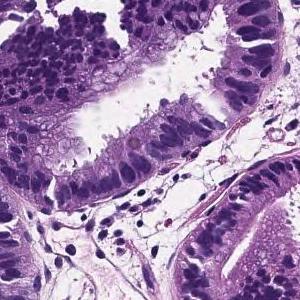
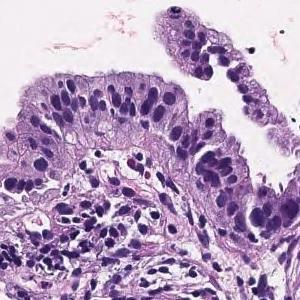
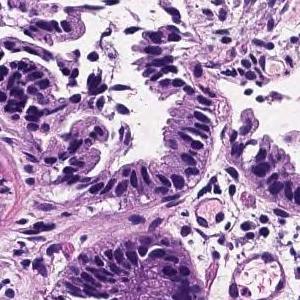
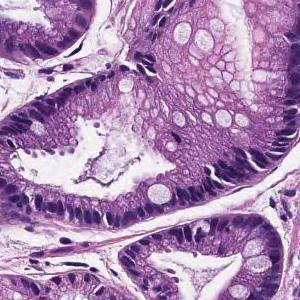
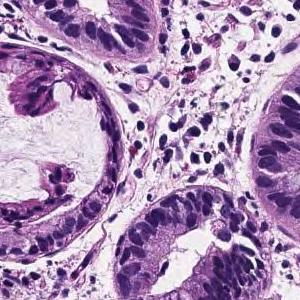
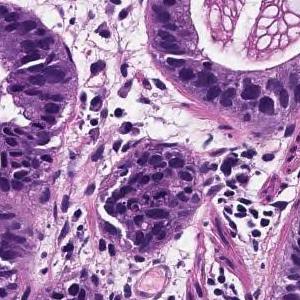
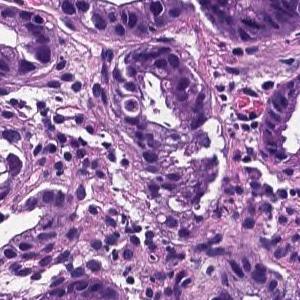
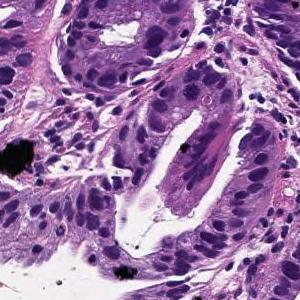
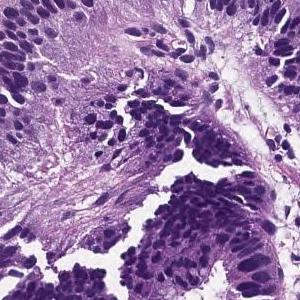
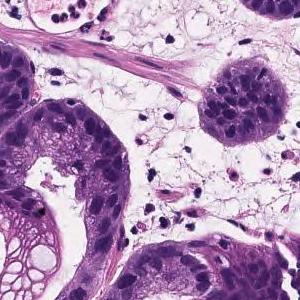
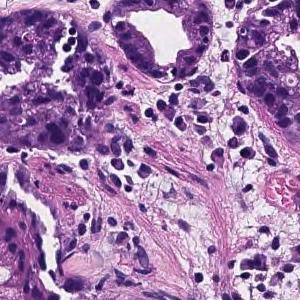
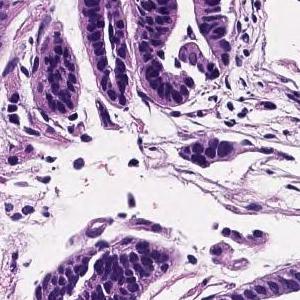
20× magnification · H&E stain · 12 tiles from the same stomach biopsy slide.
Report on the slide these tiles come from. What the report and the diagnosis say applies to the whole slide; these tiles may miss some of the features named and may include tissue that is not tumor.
Tumor cells are large, highly columnar, large club-shaped nuclei, and are associated with chromatin aggregation. Papillary adenocarcinoma.
